20× magnification · hematoxylin and eosin stain · 12 image tiles from a single gastric biopsy slide.
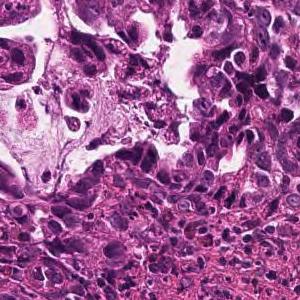
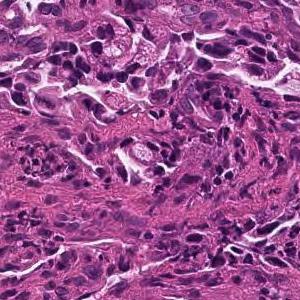
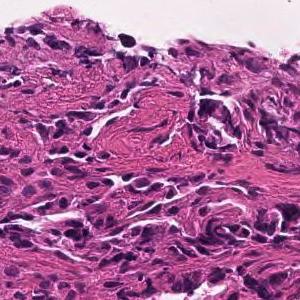
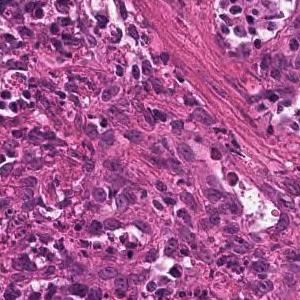
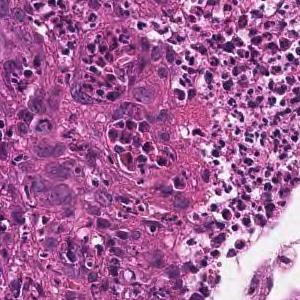
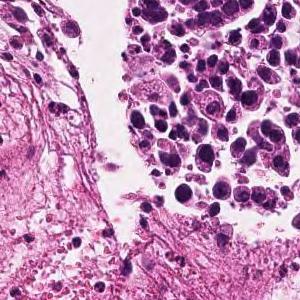
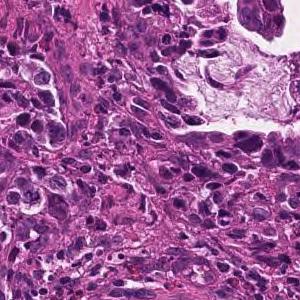
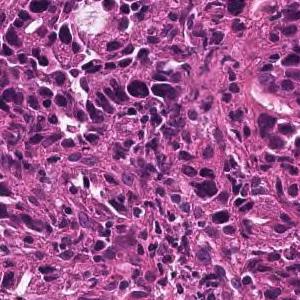
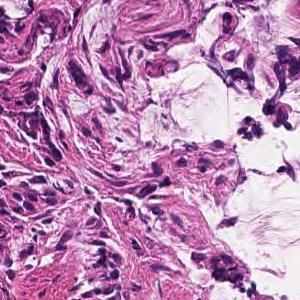
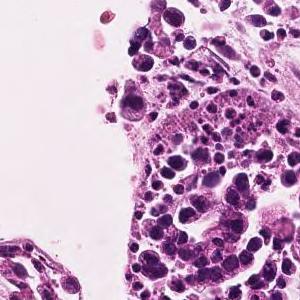
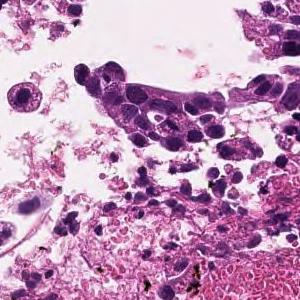
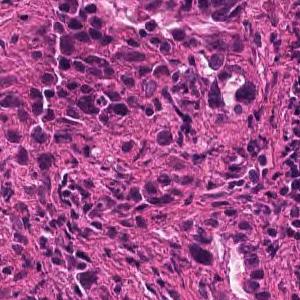
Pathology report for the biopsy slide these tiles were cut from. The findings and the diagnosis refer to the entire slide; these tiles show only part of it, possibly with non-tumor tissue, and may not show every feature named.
In the superficial epithelium, tumor tissue that invades by forming medium-sized to small, irregular ducts is observed. moderately differentiated tubular adenocarcinoma.
